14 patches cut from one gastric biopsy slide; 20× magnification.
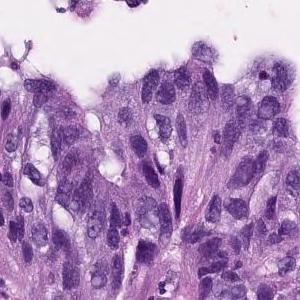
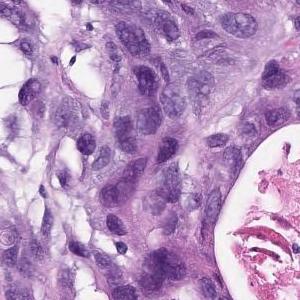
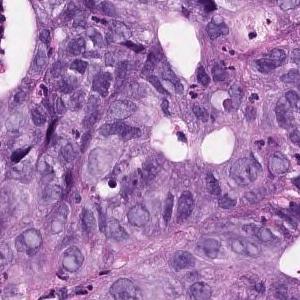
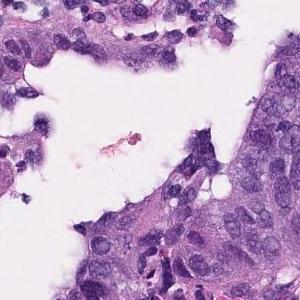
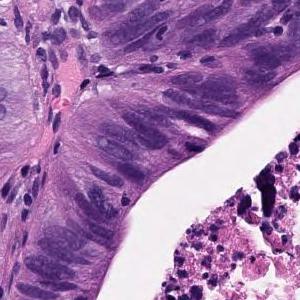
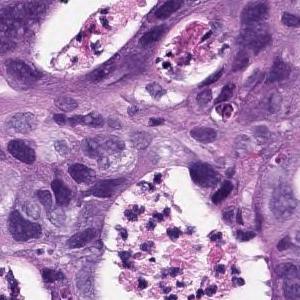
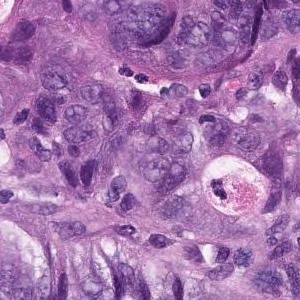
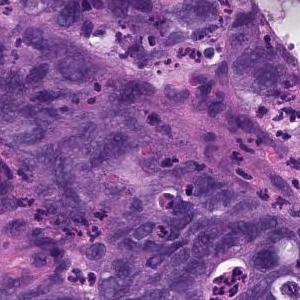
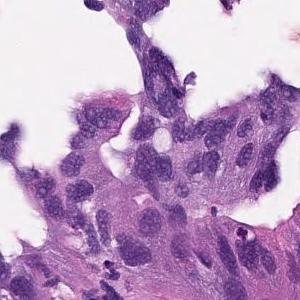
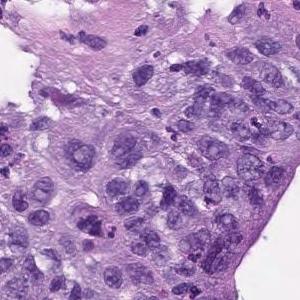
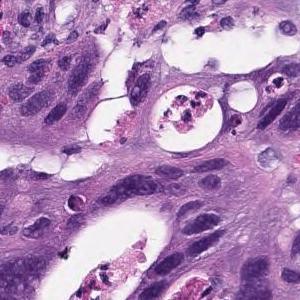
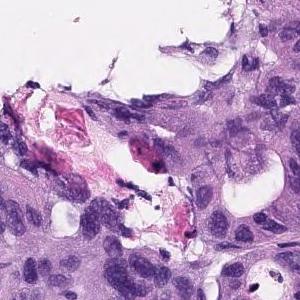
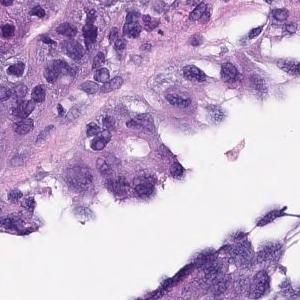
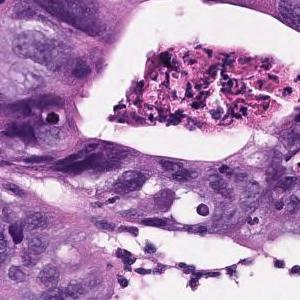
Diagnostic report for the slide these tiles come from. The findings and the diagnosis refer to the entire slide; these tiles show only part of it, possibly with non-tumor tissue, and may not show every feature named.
In the superficial epithelium, tumor tissue that invades by forming medium-sized to small, irregular ducts is observed. Moderately differentiated adenocarcinoma.
Histological subtype: Moderately differentiated tubular adenocarcinoma.
